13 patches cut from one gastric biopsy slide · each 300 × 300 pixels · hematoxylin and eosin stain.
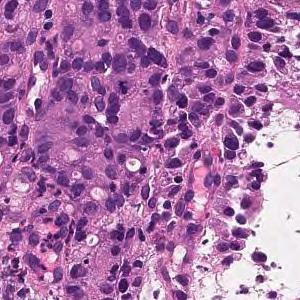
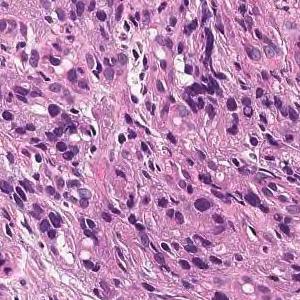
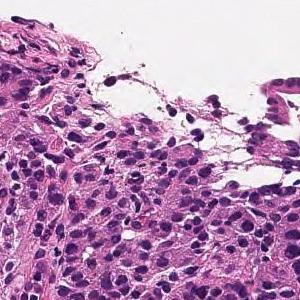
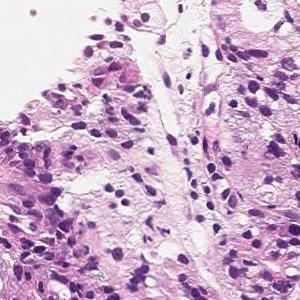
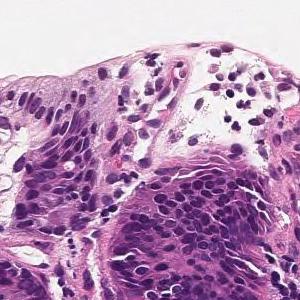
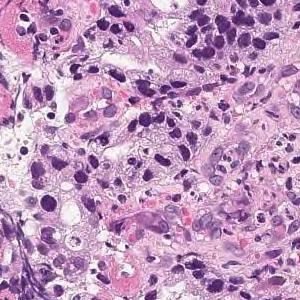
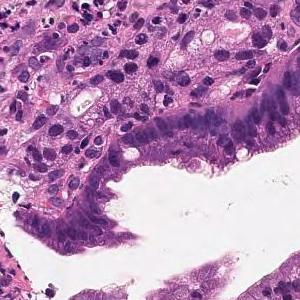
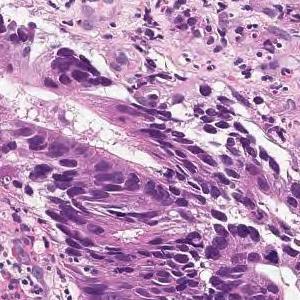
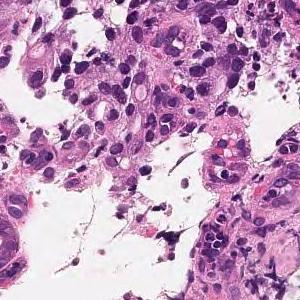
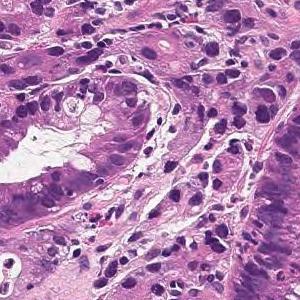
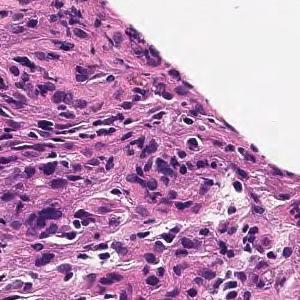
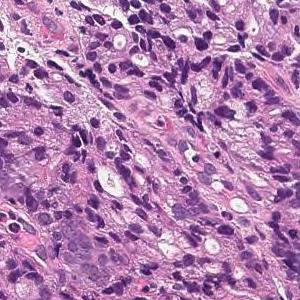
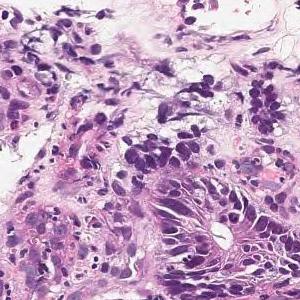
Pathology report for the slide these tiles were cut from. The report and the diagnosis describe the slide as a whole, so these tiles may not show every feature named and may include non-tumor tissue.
In the superficial epithelium, medium to small irregular gland ducts are formed, and in some cases, the ducts are fused to show solid alveolar lesions and infiltrating tumor tissue is observed. moderately differentiated tubular adenocarcinoma or poorly differentiated adenocarcinoma, solid-type (poorly differentiated adenocarcinoma, solid type)
Labeled in the dataset as poorly differentiated adenocarcinoma, solid type. This name comes from the Japanese Classification of Gastric Carcinoma; the WHO 2019 classification calls it tubular adenocarcinoma, poorly differentiated.
